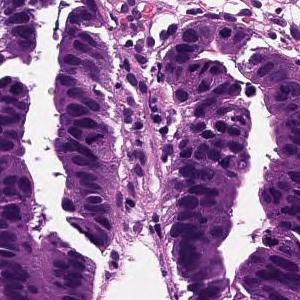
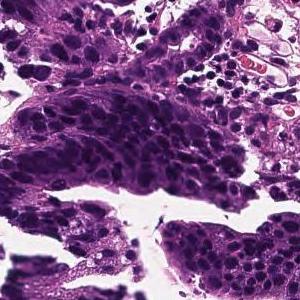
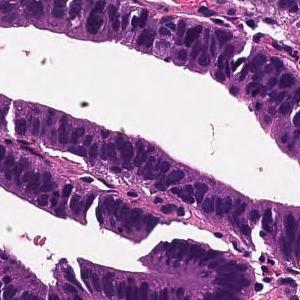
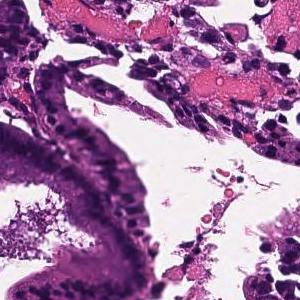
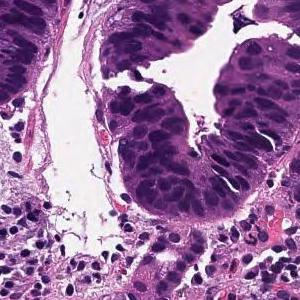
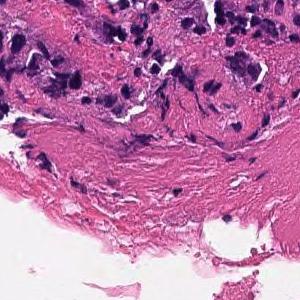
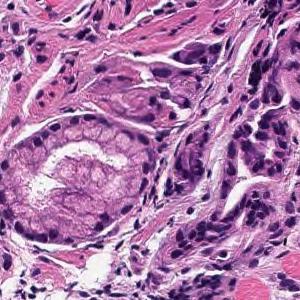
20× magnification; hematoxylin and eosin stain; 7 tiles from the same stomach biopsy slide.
The pathologist's report on the biopsy slide these tiles were taken from. The report describes the whole slide, diagnosis included: not every finding it names need appear in these tiles, which may also show non-tumor tissue.
Tumor cells are large, highly columnar, large club-shaped nuclei, and are associated with chromatin aggregation. Papillary adenocarcinoma.
